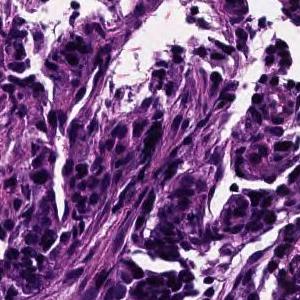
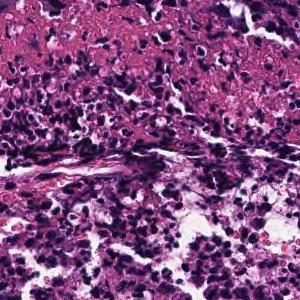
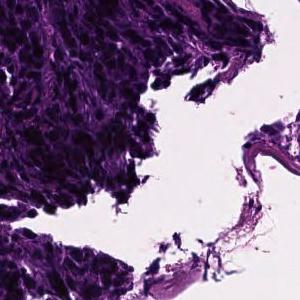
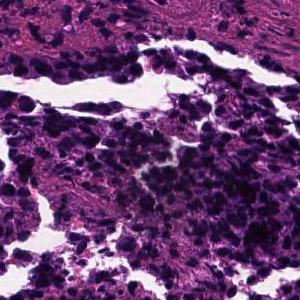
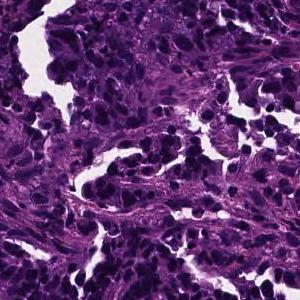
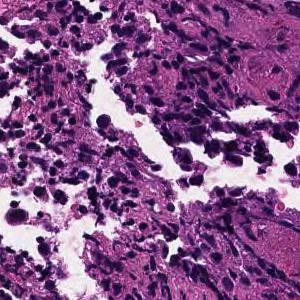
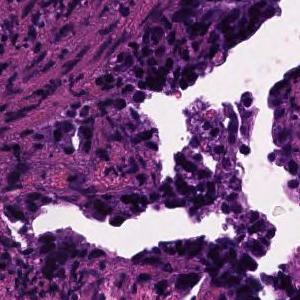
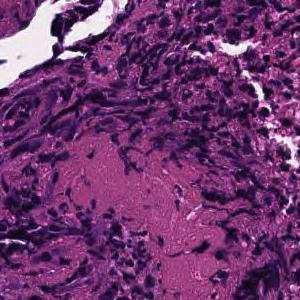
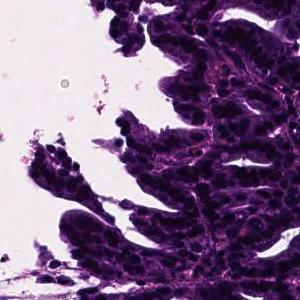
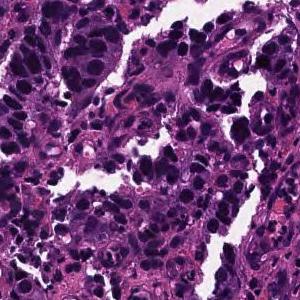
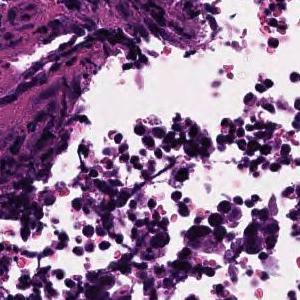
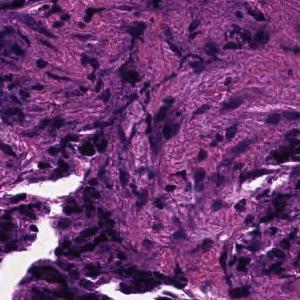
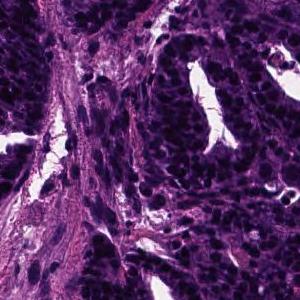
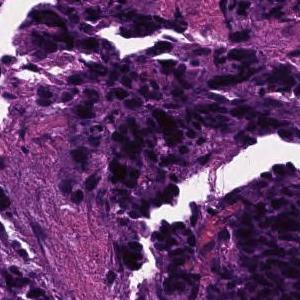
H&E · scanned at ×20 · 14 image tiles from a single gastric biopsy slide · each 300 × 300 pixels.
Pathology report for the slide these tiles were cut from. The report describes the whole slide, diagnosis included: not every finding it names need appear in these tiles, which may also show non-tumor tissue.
In the superficial epithelium, tumor tissue that invades by forming medium-sized to small, irregular ducts is observed. moderately differentiated tubular adenocarcinoma.
